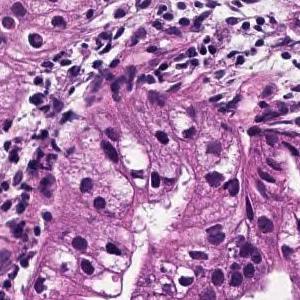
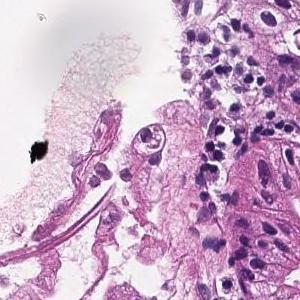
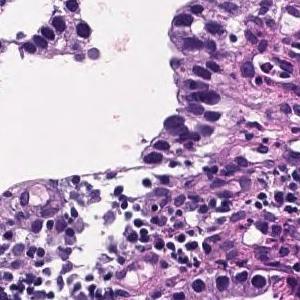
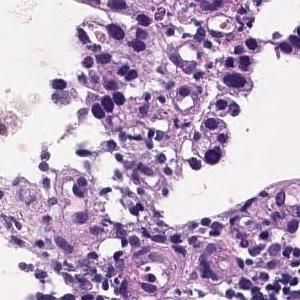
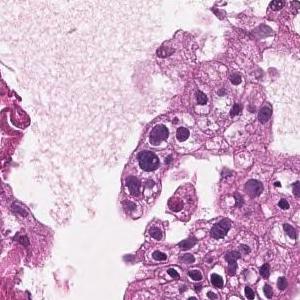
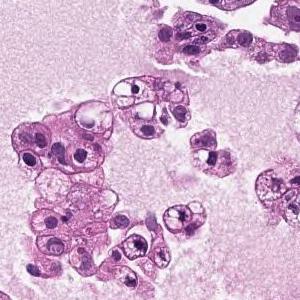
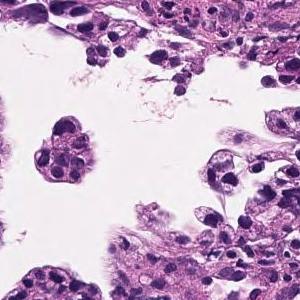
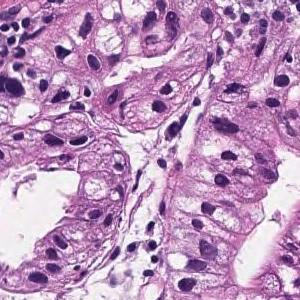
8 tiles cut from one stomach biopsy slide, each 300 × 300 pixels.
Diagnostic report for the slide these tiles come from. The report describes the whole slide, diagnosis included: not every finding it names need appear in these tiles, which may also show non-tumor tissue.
On the superficial epithelium, tumor tissue that infiltrates by forming medium-sized papillary or small irregular ducts is observed. Papillary adenocarcinoma
